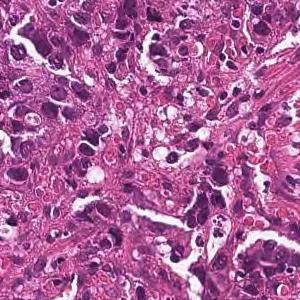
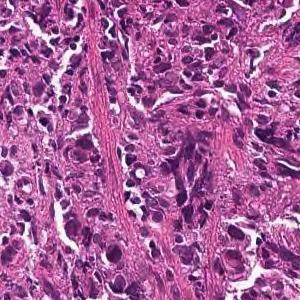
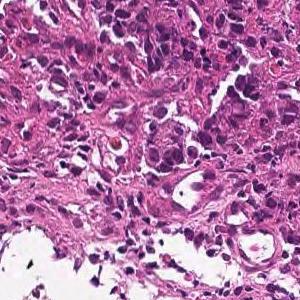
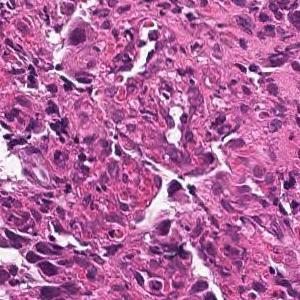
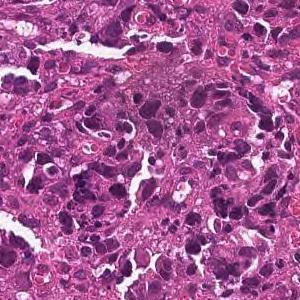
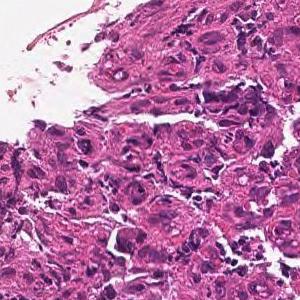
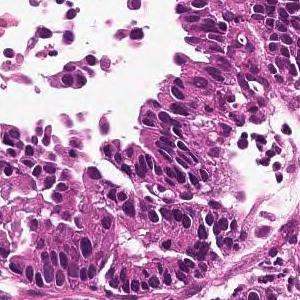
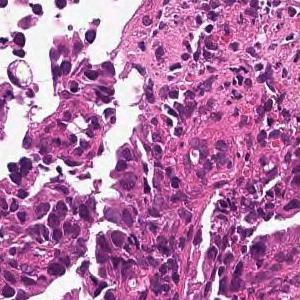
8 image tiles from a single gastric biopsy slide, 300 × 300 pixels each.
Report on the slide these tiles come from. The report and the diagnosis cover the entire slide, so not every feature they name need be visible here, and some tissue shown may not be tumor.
Tumor tissue consisting of medium-sized, cord-like or irregular glandular infiltration is observed in the superficial epithelium. Poorly differentiated adenocarcinoma, non-solid type or moderately differentiated tubular adenocarcinoma
Histologic type: Moderately to poorly differentiated adenocarcinoma.
The non-solid type named here is a Japanese Classification of Gastric Carcinoma category.
